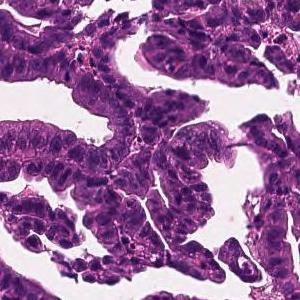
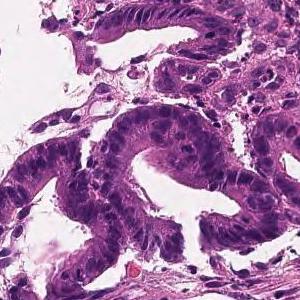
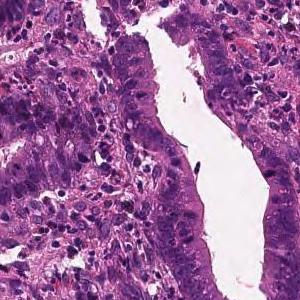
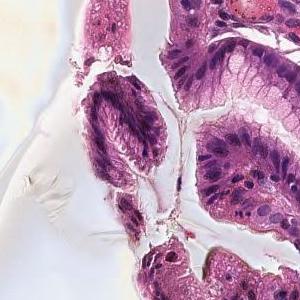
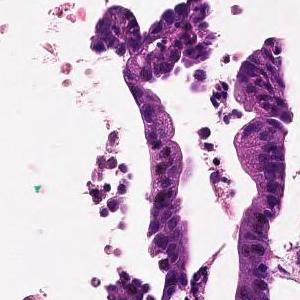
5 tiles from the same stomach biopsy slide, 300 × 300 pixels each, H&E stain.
The pathologist's report on the biopsy slide these tiles were taken from. The report and the diagnosis describe the slide as a whole, so these tiles may not show every feature named and may include non-tumor tissue.
From the superficial epithelium to the muscularis mucosae, tumor tissue consisting of medium-sized and irregular glandular ducts infiltrating is observed. Well differentiated tubular adenocarcinoma
